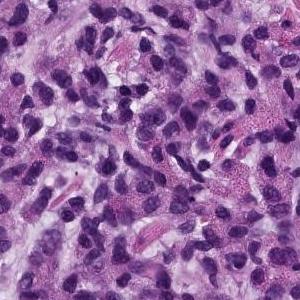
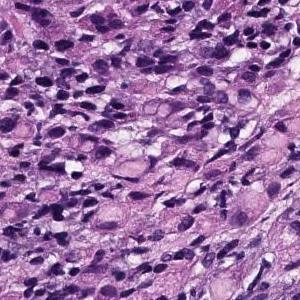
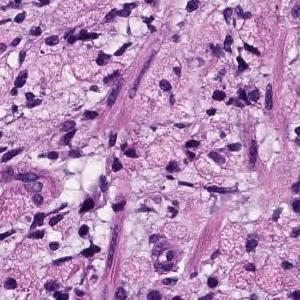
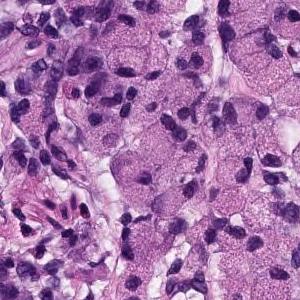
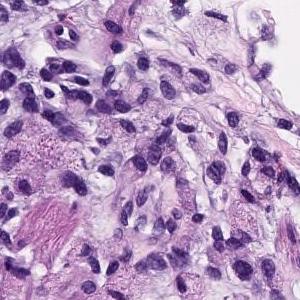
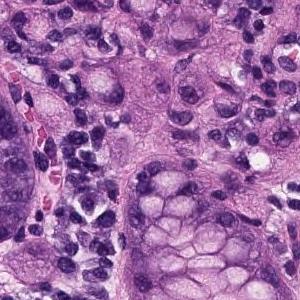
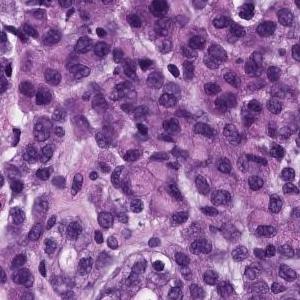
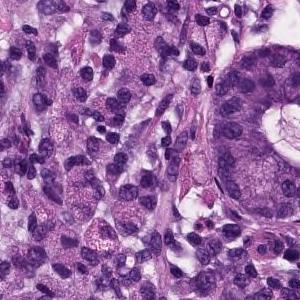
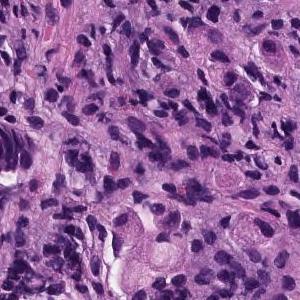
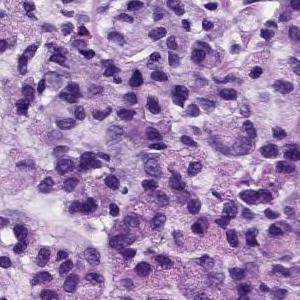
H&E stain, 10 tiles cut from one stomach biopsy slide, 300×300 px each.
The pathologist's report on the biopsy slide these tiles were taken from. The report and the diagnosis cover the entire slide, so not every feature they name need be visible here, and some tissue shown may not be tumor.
The superficial epithelium shows a large sheet-like shape, and some tumor tissue infiltrates with small irregular ducts. Poorly differentiated adenocarcinoma, solid-type
Histological subtype: Poorly differentiated adenocarcinoma, solid type. This name comes from the Japanese Classification of Gastric Carcinoma; the WHO 2019 classification calls it tubular adenocarcinoma, poorly differentiated.
